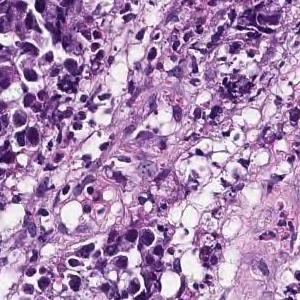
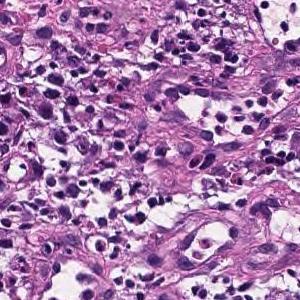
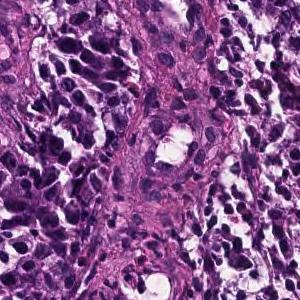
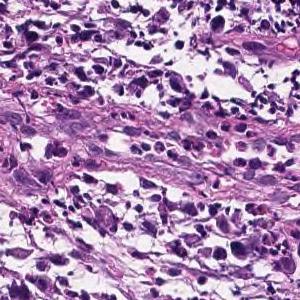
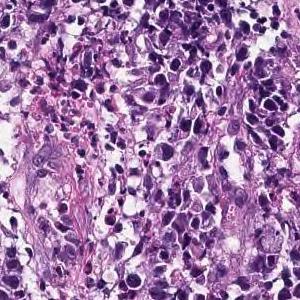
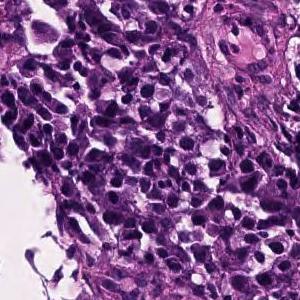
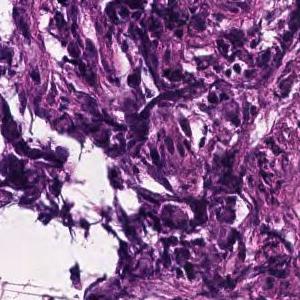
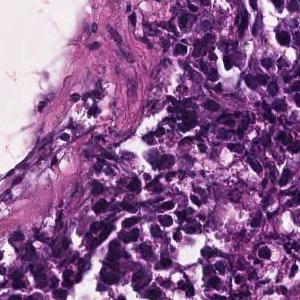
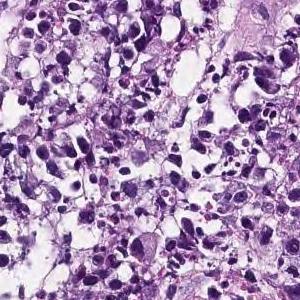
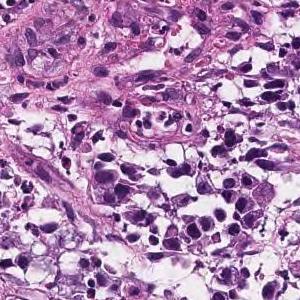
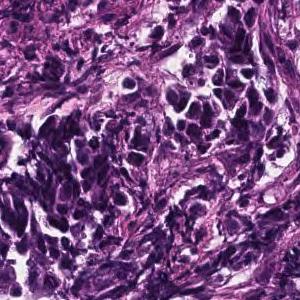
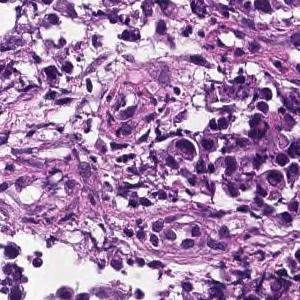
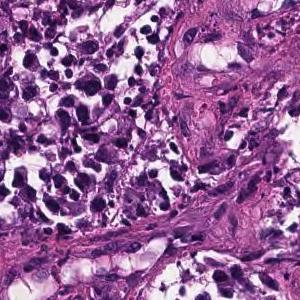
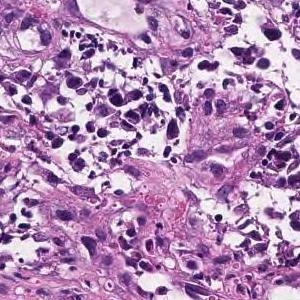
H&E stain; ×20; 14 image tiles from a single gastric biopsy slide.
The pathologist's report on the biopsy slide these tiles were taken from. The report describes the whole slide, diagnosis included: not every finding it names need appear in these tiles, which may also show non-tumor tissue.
The superficial epithelium shows a small alveolar shape, and some tumor tissues infiltrate with a cord-like structure. Poorly differentiated adenocarcinoma, solid-type
Histological subtype: Poorly differentiated adenocarcinoma, solid type. This name comes from the Japanese Classification of Gastric Carcinoma; the WHO 2019 classification calls it tubular adenocarcinoma, poorly differentiated.
